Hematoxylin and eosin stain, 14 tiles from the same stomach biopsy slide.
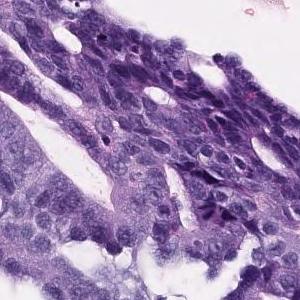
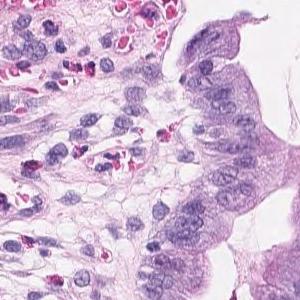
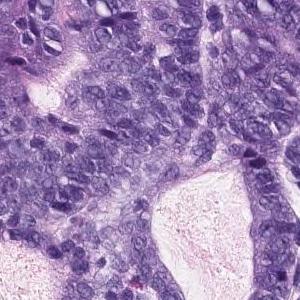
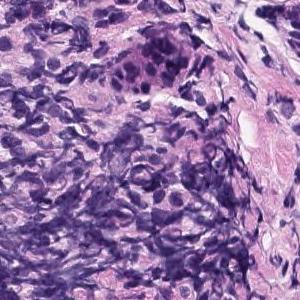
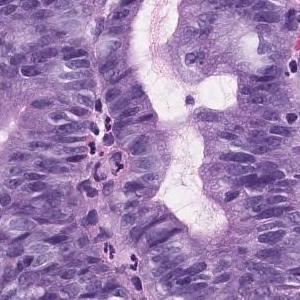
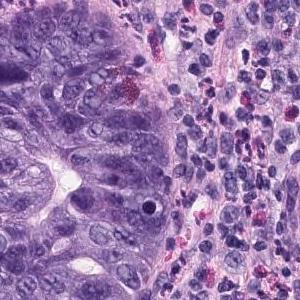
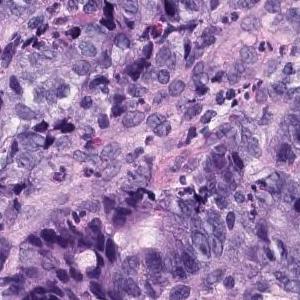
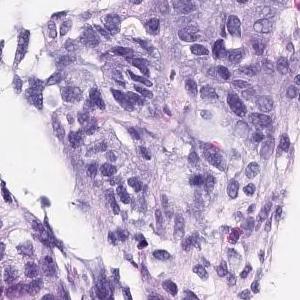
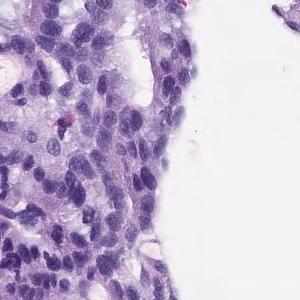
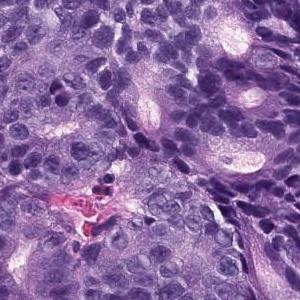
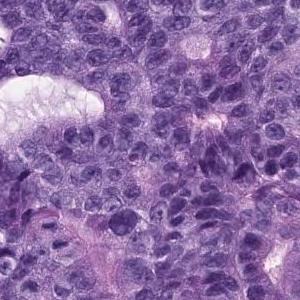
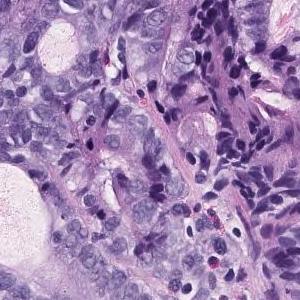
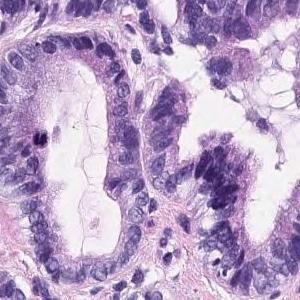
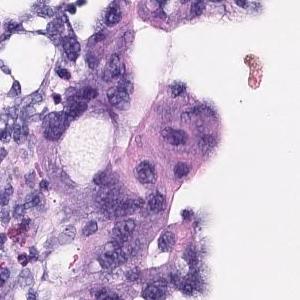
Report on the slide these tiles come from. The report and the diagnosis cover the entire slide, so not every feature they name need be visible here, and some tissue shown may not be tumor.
In the superficial epithelium, tumor tissue that invades by forming medium-sized to small, irregular ducts is observed. Well to moderately differentiated tubular adenocarcinoma.
